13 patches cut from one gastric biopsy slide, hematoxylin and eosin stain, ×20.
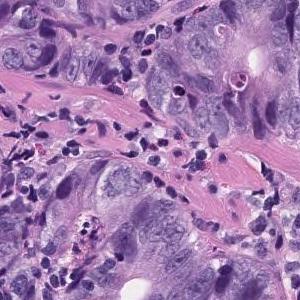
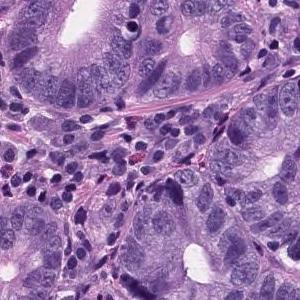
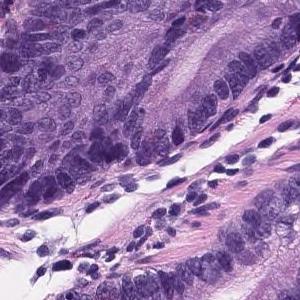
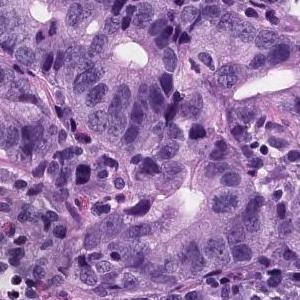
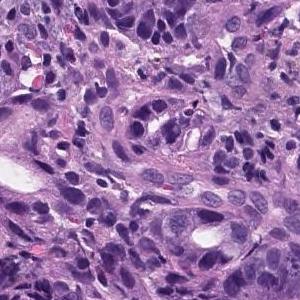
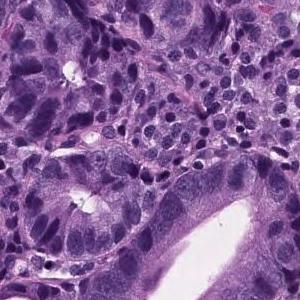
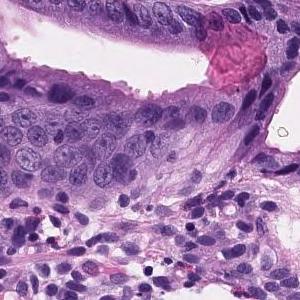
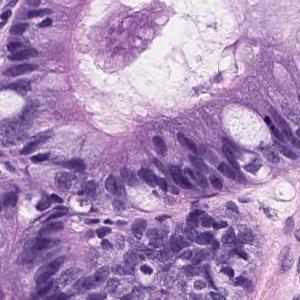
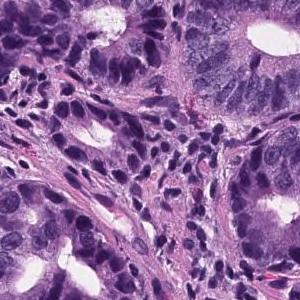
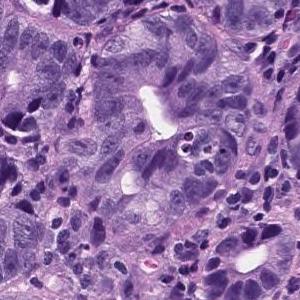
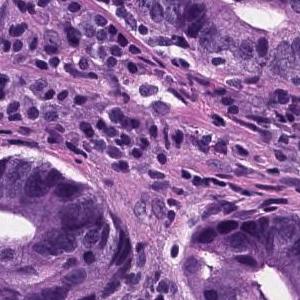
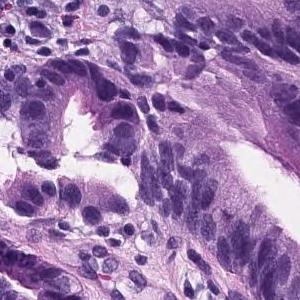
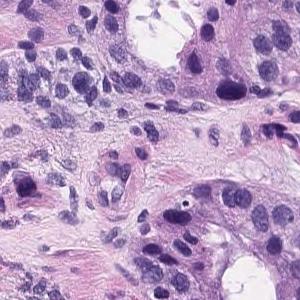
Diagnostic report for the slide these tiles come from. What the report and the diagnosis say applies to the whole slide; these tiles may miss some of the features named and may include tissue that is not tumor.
Tumor tissue consisting of medium-sized and irregular ducts is observed infiltrating in the superficial epithelium. Tumor cells are highly columnar, with nuclei aligned basolaterally and polarized. Well differentiated tubular adenocarcinoma.
